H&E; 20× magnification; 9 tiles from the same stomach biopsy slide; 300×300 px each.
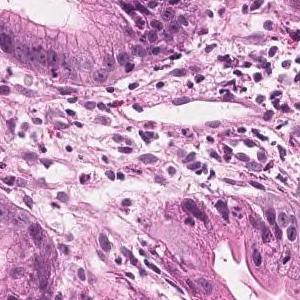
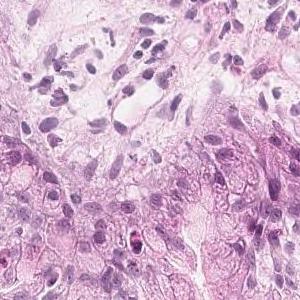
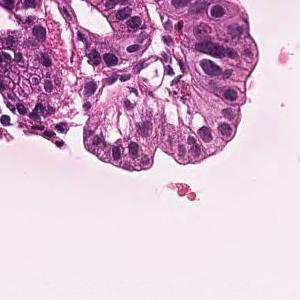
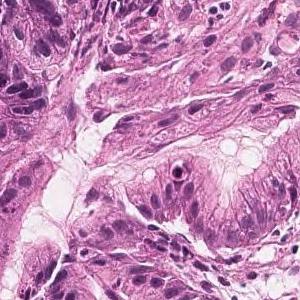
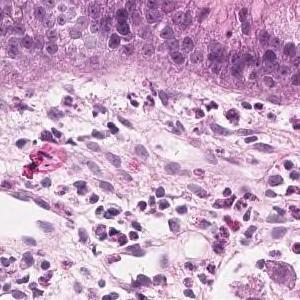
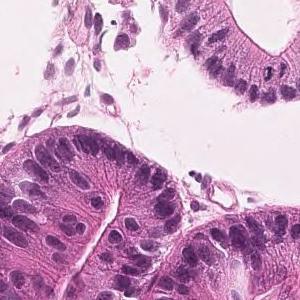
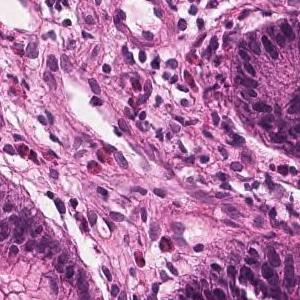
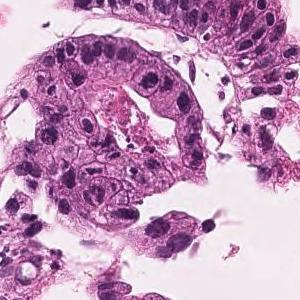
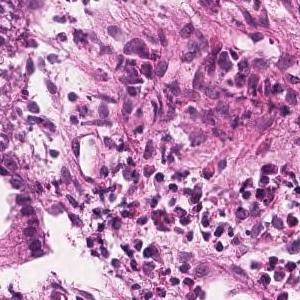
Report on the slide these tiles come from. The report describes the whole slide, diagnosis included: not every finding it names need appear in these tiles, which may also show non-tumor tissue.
Tumor tissue consisting of medium-sized and irregular ducts is observed infiltrating in the superficial epithelium. Tumor cells are highly columnar, with nuclei aligned basolaterally and polarized. Well differentiated tubular adenocarcinoma.
